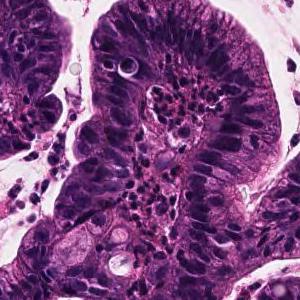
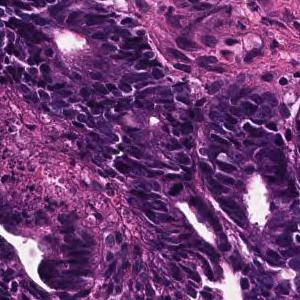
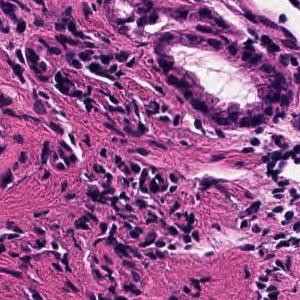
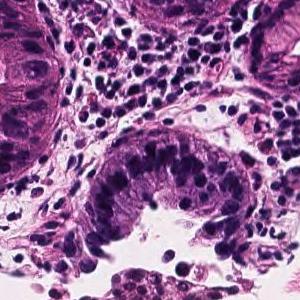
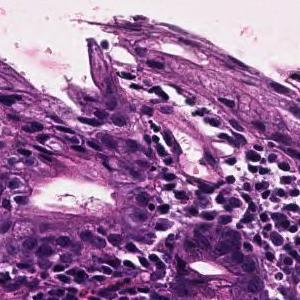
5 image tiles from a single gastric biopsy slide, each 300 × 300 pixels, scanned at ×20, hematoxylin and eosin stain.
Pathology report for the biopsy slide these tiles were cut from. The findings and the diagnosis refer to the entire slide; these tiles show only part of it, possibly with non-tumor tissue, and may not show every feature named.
Tumor cells are large, highly columnar, large club-shaped nuclei, and are associated with chromatin aggregation. Papillary adenocarcinoma.
